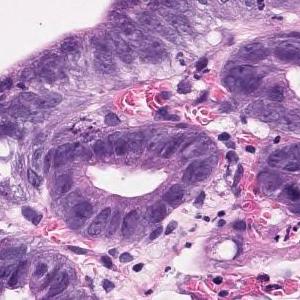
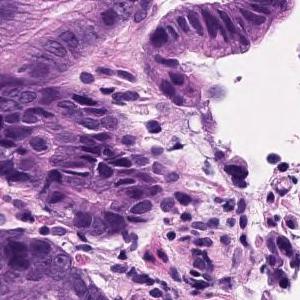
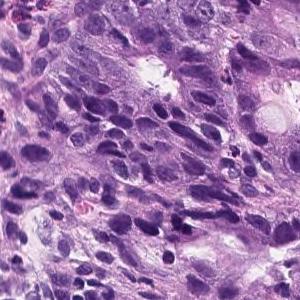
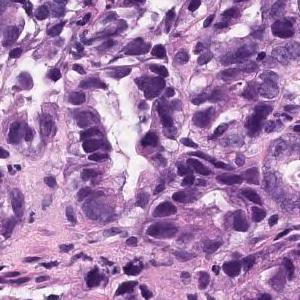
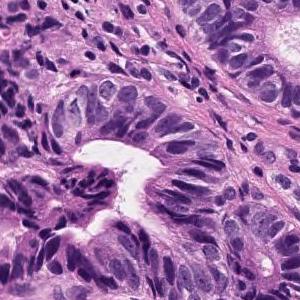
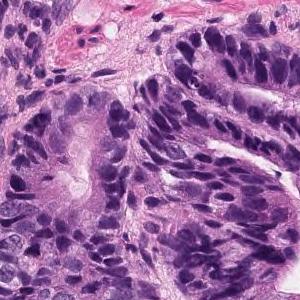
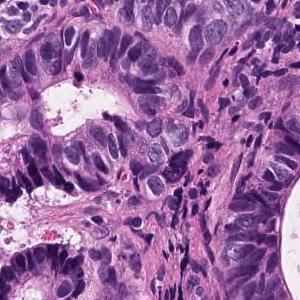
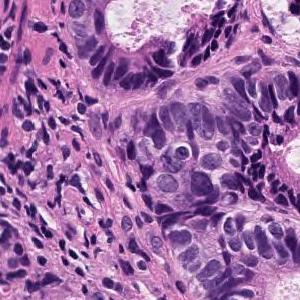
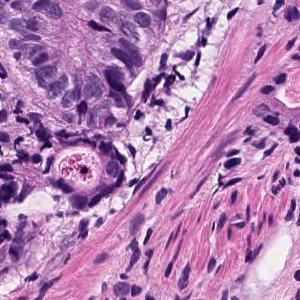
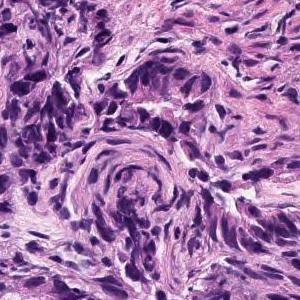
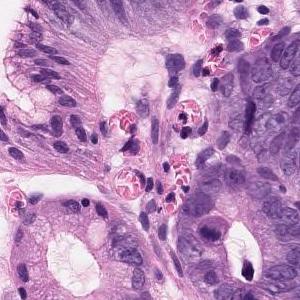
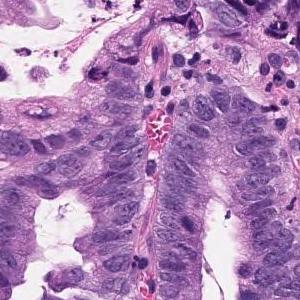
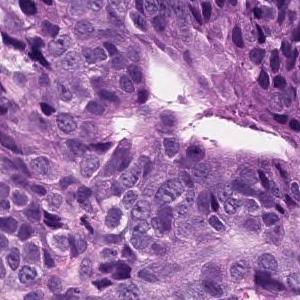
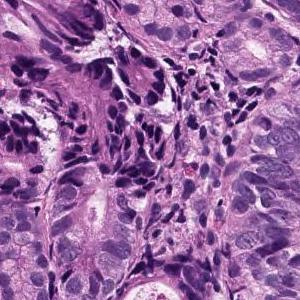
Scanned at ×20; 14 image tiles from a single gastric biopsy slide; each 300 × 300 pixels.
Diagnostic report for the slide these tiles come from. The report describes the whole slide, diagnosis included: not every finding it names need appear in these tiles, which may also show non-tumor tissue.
The swollen atypical epithelium of the nucleus forms an irregular ductal structure and proliferates. moderately differentiated tubular adenocarcinoma
